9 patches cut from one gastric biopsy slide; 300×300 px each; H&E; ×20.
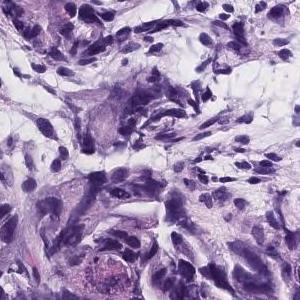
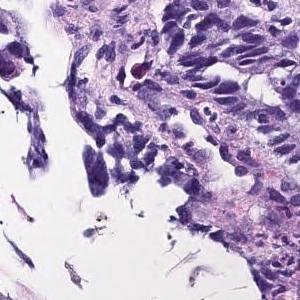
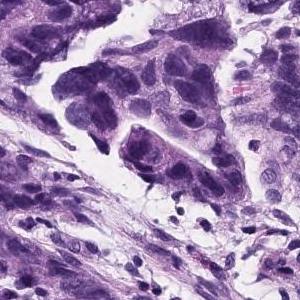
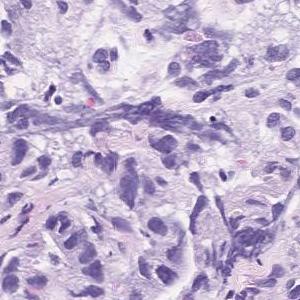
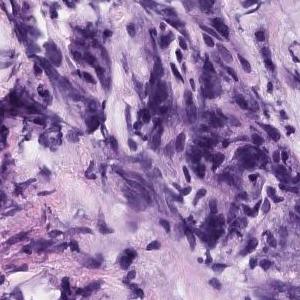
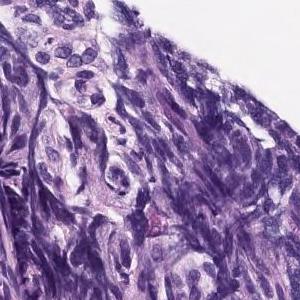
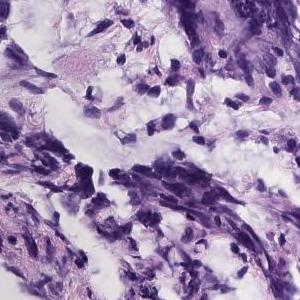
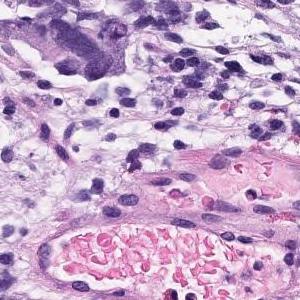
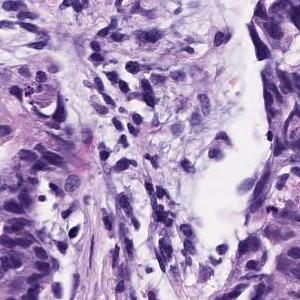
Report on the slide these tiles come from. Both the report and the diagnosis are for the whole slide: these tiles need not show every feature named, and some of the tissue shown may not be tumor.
Atypical epithelial cells with an increased N/C ratio proliferate and consist of a part that shows the formation of gland ducts and a part that shows solid growth. Poorly differentiated adenocarcinoma, solid-type
Histologic type: Poorly differentiated adenocarcinoma, solid type. This name comes from the Japanese Classification of Gastric Carcinoma; the WHO 2019 classification calls it tubular adenocarcinoma, poorly differentiated.
